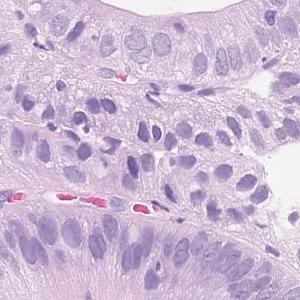
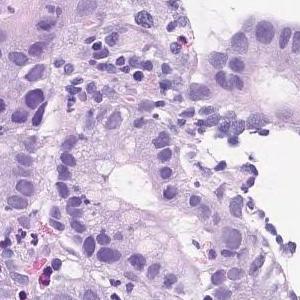
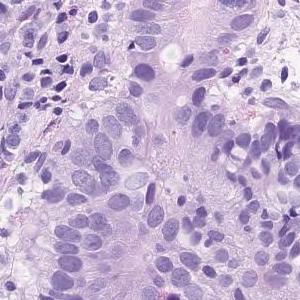
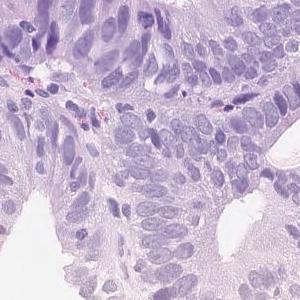
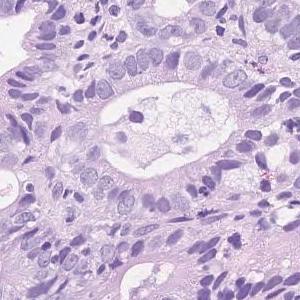
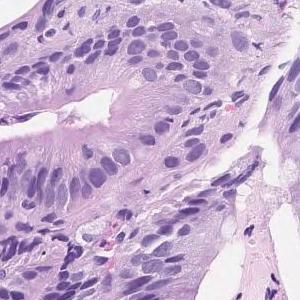
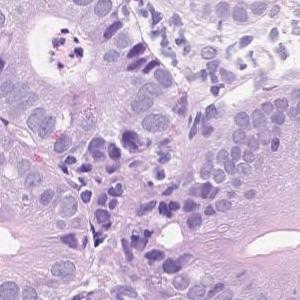
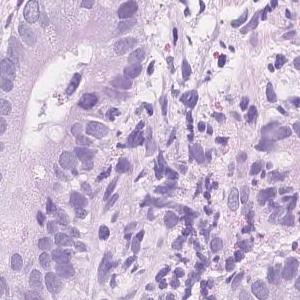
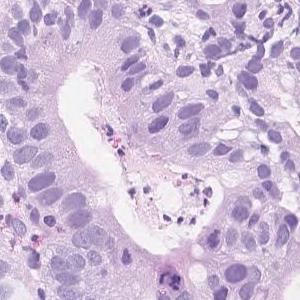
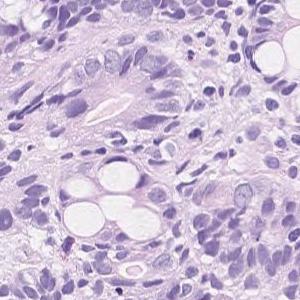
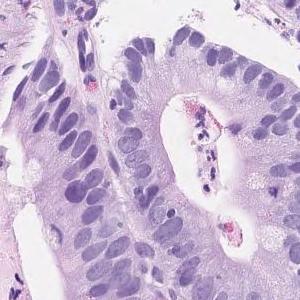
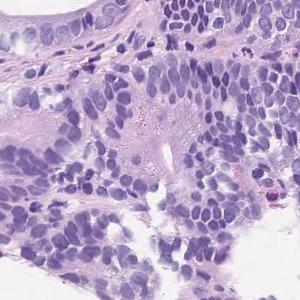
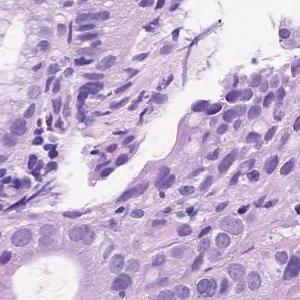
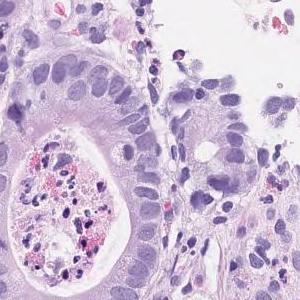
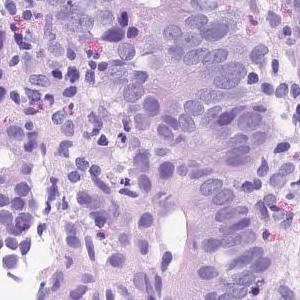
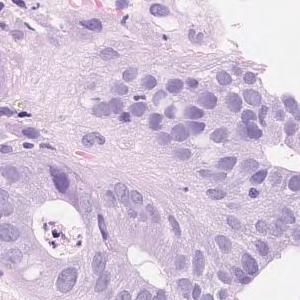
16 patches cut from one gastric biopsy slide, 300×300 px each, H&E stain, scanned at ×20.
Pathology report for the slide these tiles were cut from. The report describes the whole slide, diagnosis included: not every finding it names need appear in these tiles, which may also show non-tumor tissue.
On the superficial epithelium, tumor tissue consisting of medium to small irregular tubules partially fused and proliferated is observed. moderately differentiated tubular adenocarcinoma
